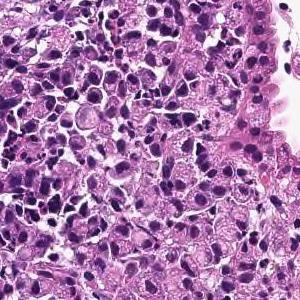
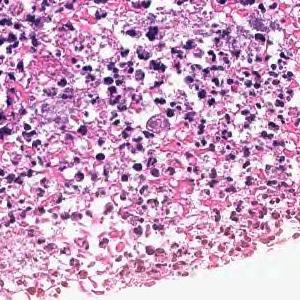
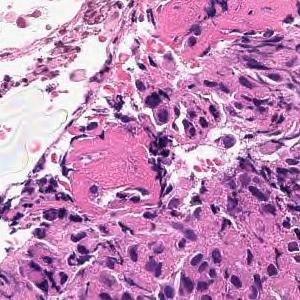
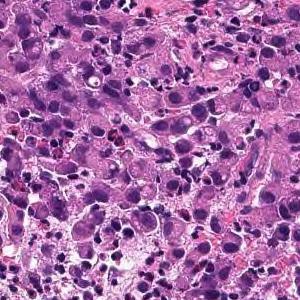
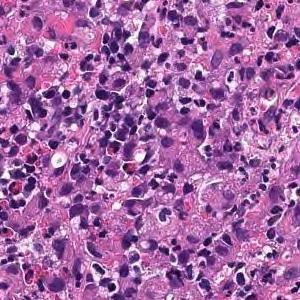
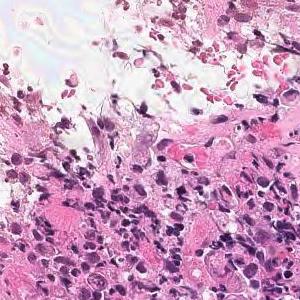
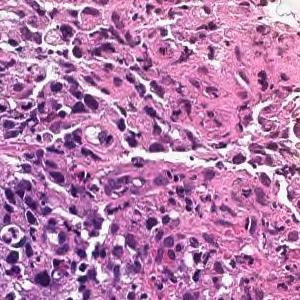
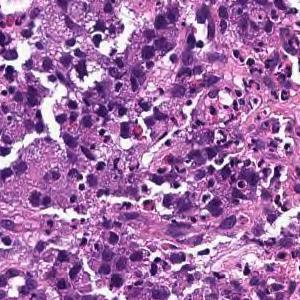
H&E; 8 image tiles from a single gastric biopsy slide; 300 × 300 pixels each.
Pathology report for the slide these tiles were cut from. The report and the diagnosis describe the slide as a whole, so these tiles may not show every feature named and may include non-tumor tissue.
Tumor tissue consisting of diffusely infiltrated large atypical epithelial cells or signet ring atypical cells is observed in the superficial epithelium. Poorly differentiated adenocarcinoma, solid-type
Classified as poorly differentiated adenocarcinoma, solid type, a category of the Japanese Classification of Gastric Carcinoma; in the WHO 2019 classification it is tubular adenocarcinoma, poorly differentiated.
